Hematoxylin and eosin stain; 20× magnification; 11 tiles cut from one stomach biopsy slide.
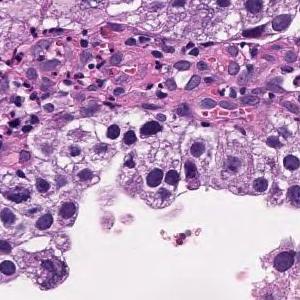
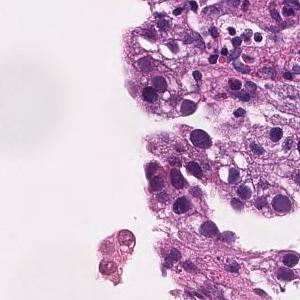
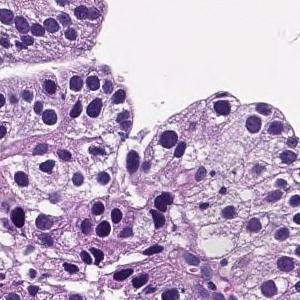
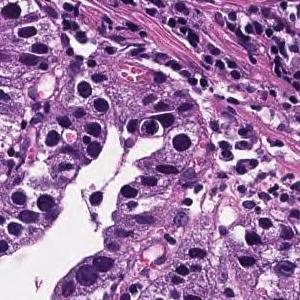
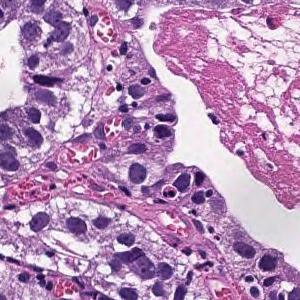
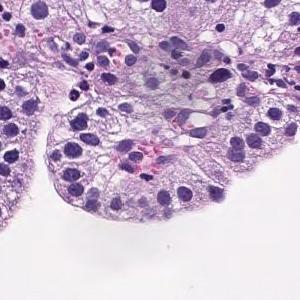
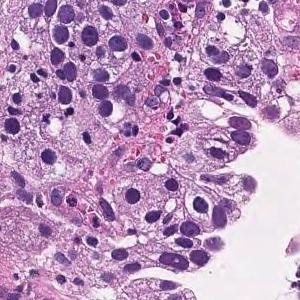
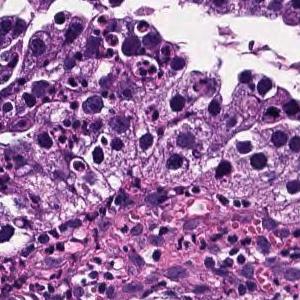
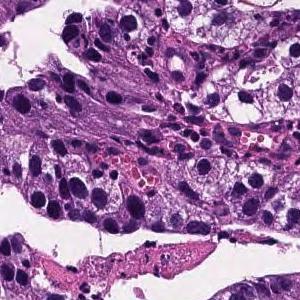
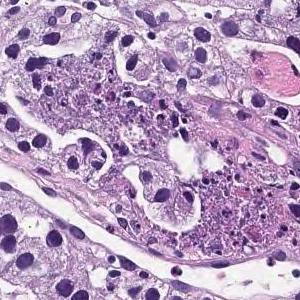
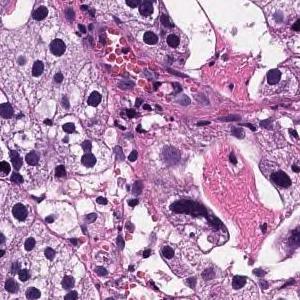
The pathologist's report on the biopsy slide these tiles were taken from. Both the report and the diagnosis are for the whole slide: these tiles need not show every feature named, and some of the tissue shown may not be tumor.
On the superficial epithelium, tumor tissue that infiltrates by forming medium-sized papillary or small irregular ducts is observed. Papillary adenocarcinoma
